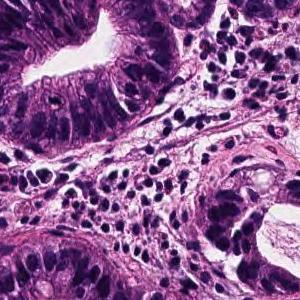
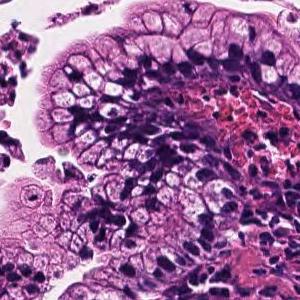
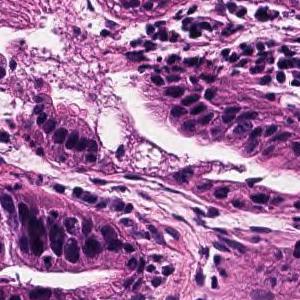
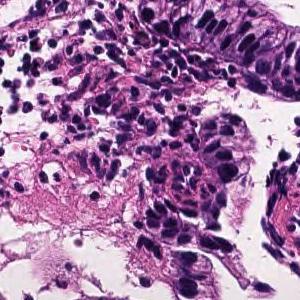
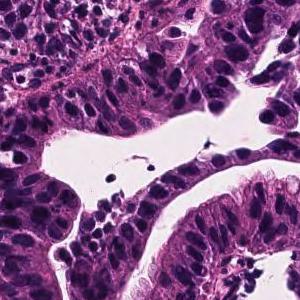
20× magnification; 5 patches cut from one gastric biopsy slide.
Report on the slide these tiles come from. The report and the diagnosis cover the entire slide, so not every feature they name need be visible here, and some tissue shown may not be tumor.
Tumor cells are large, highly columnar, large club-shaped nuclei, and are associated with chromatin aggregation. Papillary adenocarcinoma.
